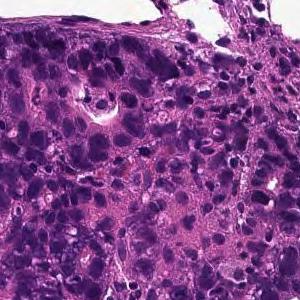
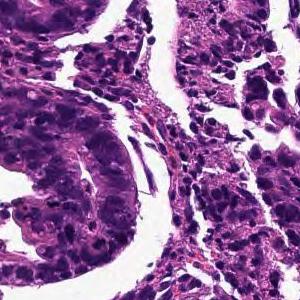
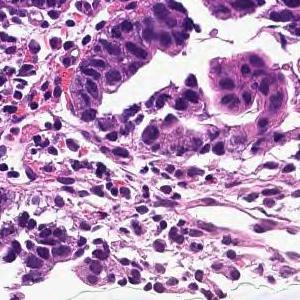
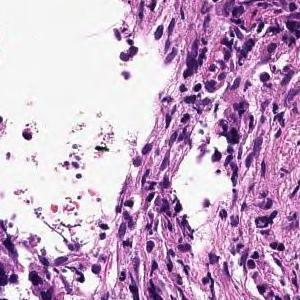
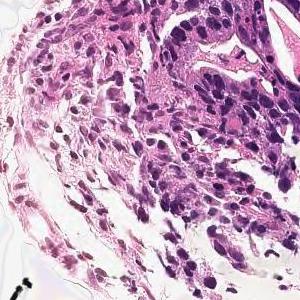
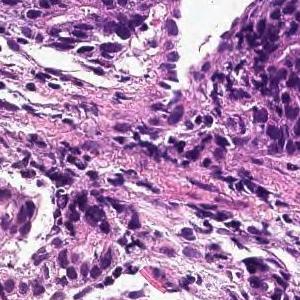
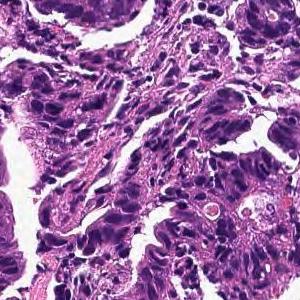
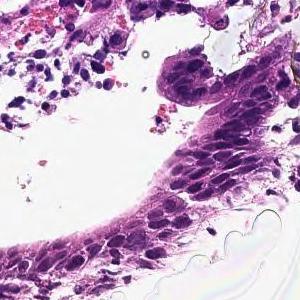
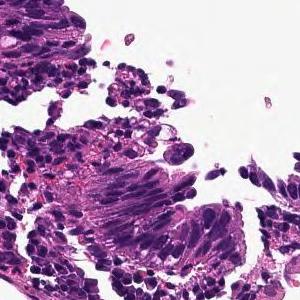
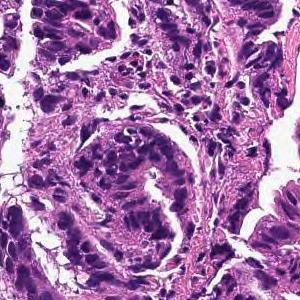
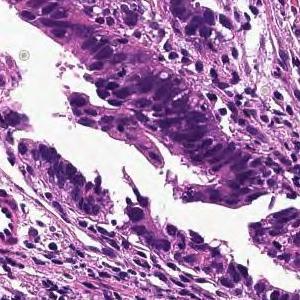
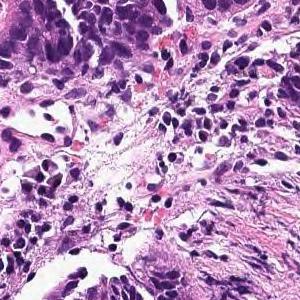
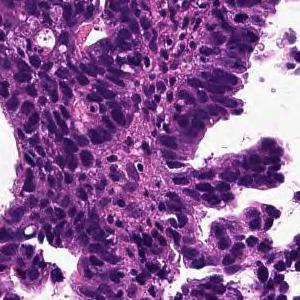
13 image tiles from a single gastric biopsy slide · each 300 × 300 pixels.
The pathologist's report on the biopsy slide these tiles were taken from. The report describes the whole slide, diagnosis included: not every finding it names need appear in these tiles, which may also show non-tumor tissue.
In the superficial epithelium, tumor tissue that invades by forming medium-sized to small, irregular ducts is observed. moderately differentiated tubular adenocarcinoma.
